4 tiles from the same stomach biopsy slide; 300 × 300 pixels each.
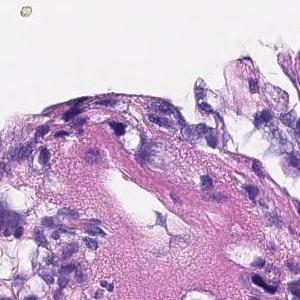
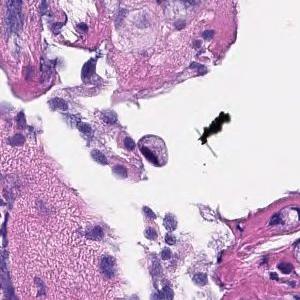
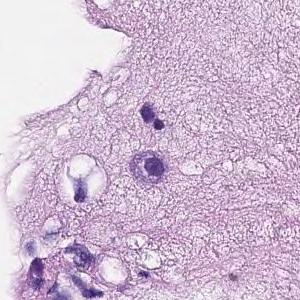
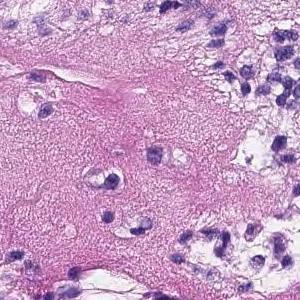
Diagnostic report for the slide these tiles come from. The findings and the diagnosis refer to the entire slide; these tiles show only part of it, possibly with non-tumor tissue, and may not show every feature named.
A large atypical epithelium lacking ductal construction with swelling of the nucleus is seen to proliferate solidly. Poorly differentiated adenocarcinoma.
Subtype: Poorly differentiated adenocarcinoma, non-solid type.
"Non-solid type" is a category of the Japanese Classification of Gastric Carcinoma.
